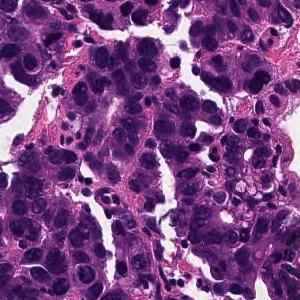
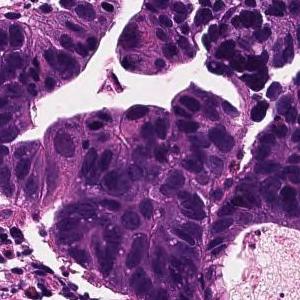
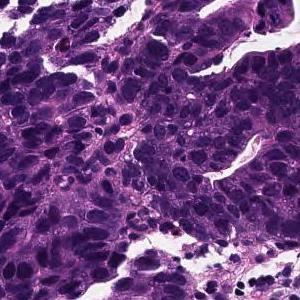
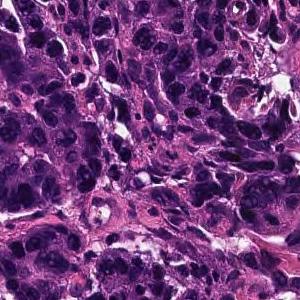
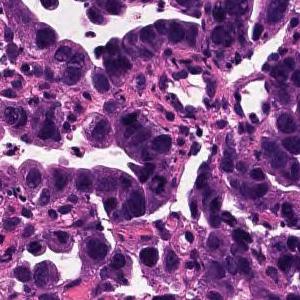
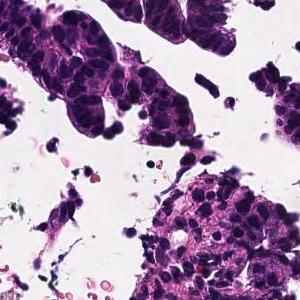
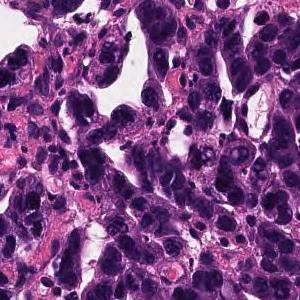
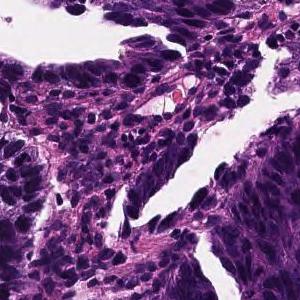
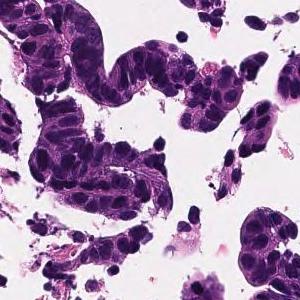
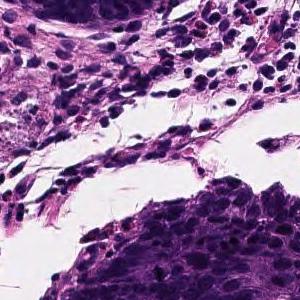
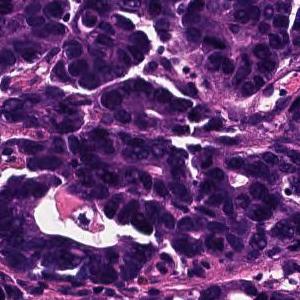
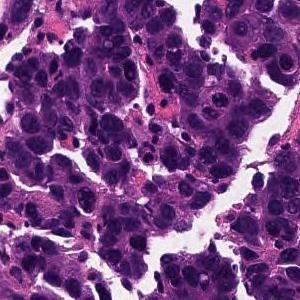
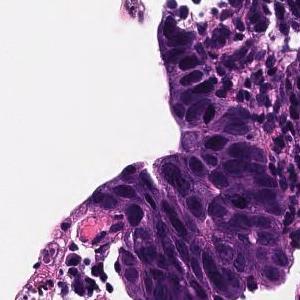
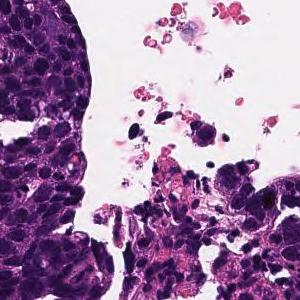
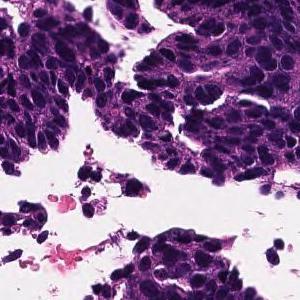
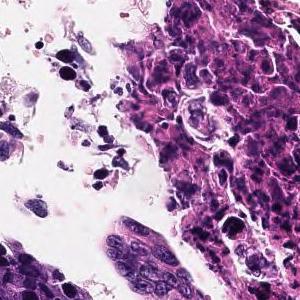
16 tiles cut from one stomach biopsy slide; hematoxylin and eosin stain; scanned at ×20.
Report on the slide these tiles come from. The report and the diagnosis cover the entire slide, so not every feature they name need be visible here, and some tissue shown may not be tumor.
In the superficial epithelium, tumor tissue that invades by forming medium-sized to small, irregular ducts is observed. moderately differentiated tubular adenocarcinoma.
